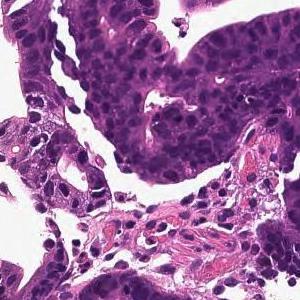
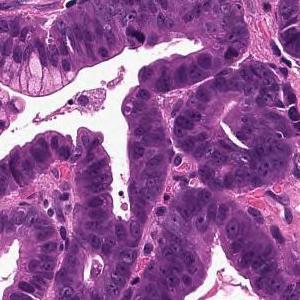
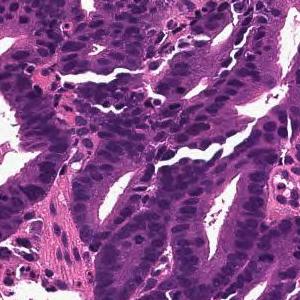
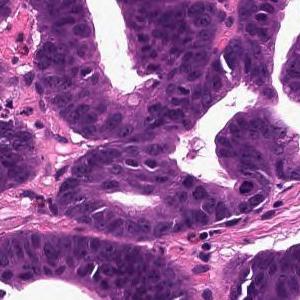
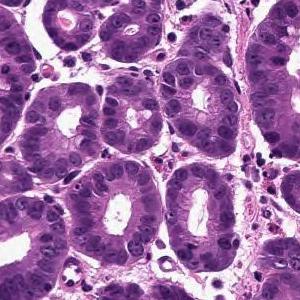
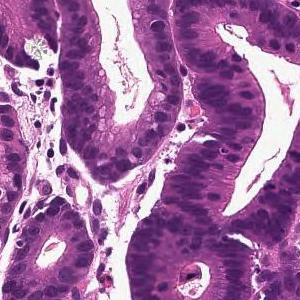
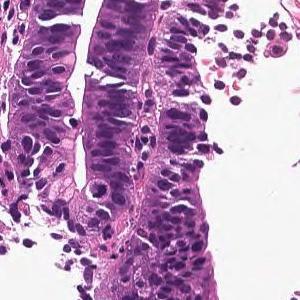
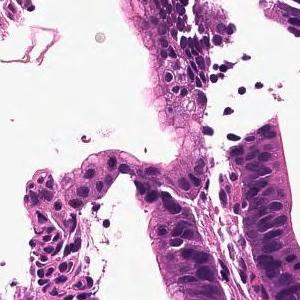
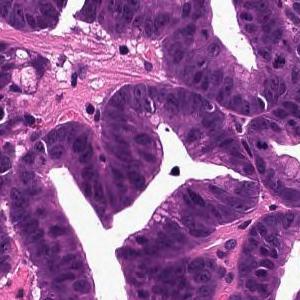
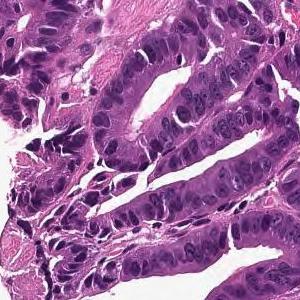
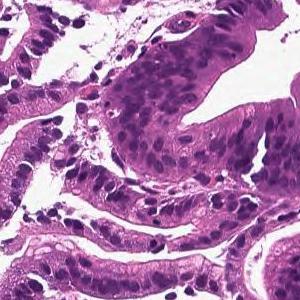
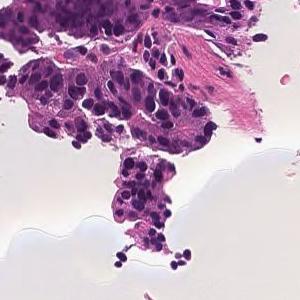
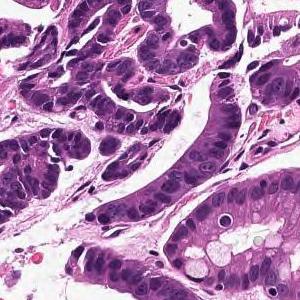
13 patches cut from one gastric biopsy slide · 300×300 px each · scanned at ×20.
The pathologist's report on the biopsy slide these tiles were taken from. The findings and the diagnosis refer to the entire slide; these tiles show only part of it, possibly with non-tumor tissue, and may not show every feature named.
From the superficial epithelium to the muscularis mucosae, tumor tissue consisting of medium-sized and irregular glandular ducts infiltrating is observed. Well differentiated tubular adenocarcinoma
